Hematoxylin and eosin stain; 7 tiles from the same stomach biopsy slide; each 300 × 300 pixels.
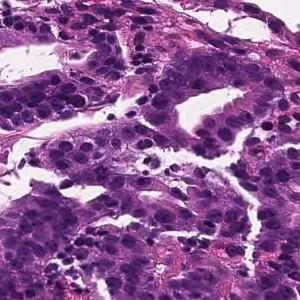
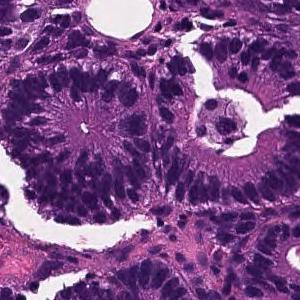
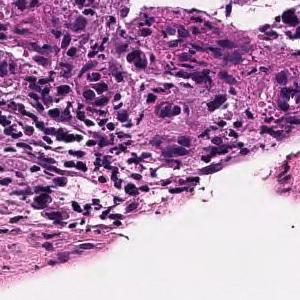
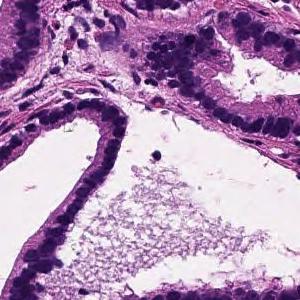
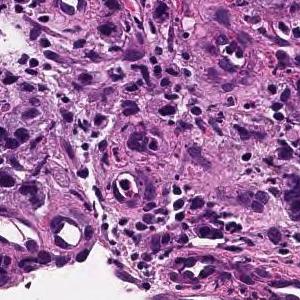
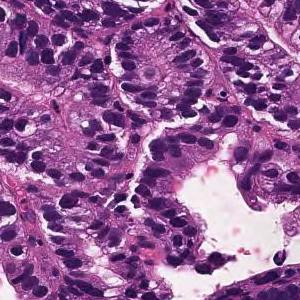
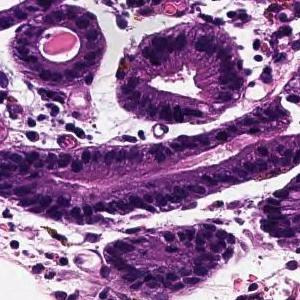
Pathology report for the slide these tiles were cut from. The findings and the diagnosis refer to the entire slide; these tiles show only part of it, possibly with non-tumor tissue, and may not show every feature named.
From the superficial epithelium to the muscularis mucosae, tumor tissue consisting of medium-sized and irregular glandular ducts infiltrating is observed. Well differentiated tubular adenocarcinoma
